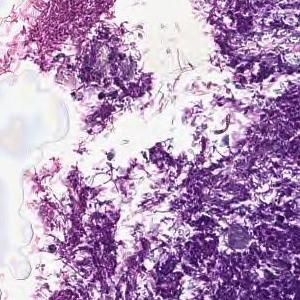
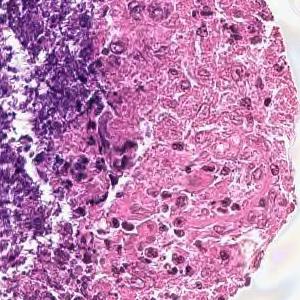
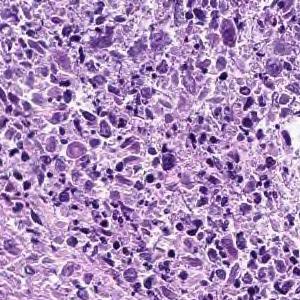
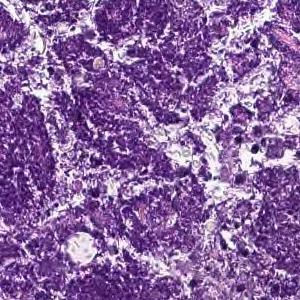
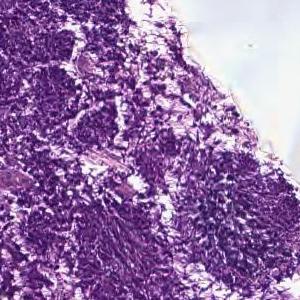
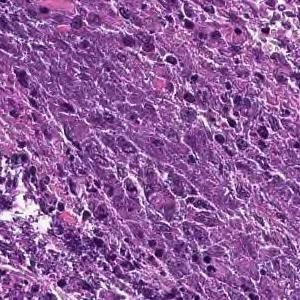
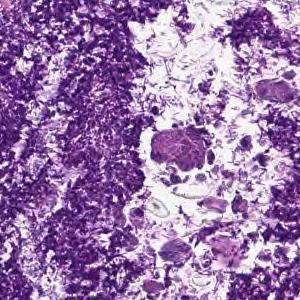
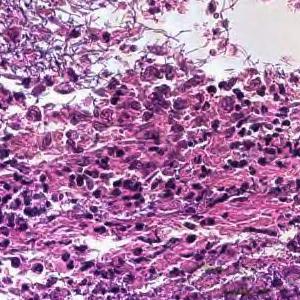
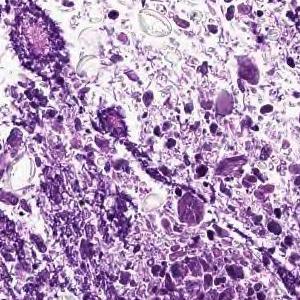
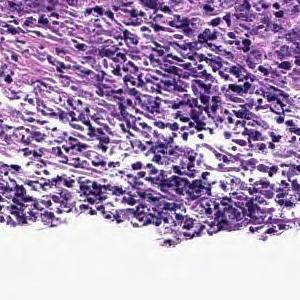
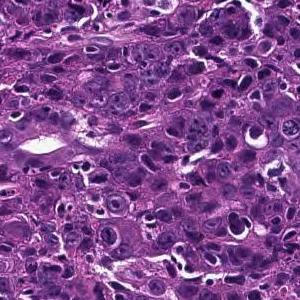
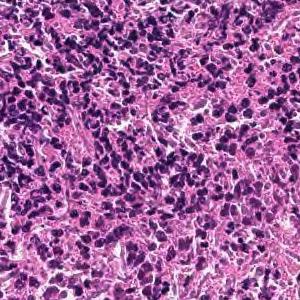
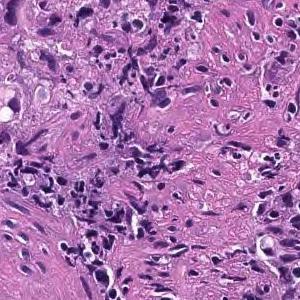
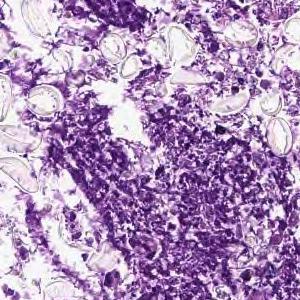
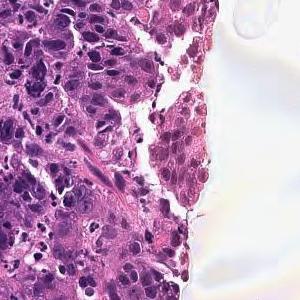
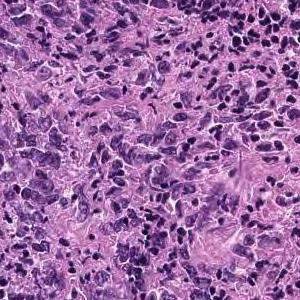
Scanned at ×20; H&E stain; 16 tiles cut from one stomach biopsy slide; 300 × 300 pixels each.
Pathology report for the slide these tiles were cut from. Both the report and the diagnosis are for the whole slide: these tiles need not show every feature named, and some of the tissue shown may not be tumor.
Cancers with polygonal nuclei do not show glandular formation and are densely, in part, cord-like and proliferate. Poorly differentiated adenocarcinoma
Histological subtype: Poorly differentiated adenocarcinoma, non-solid type.
"Non-solid type" is a category of the Japanese Classification of Gastric Carcinoma.
